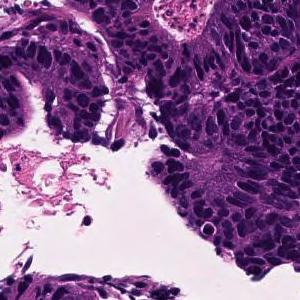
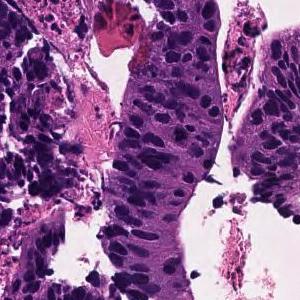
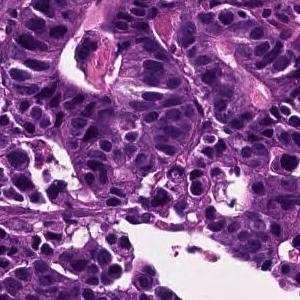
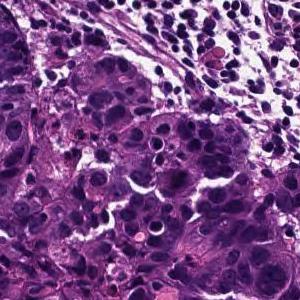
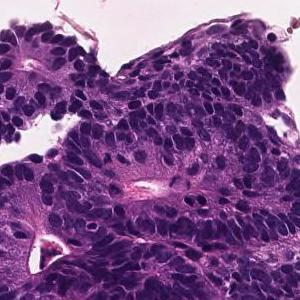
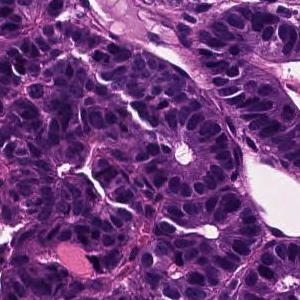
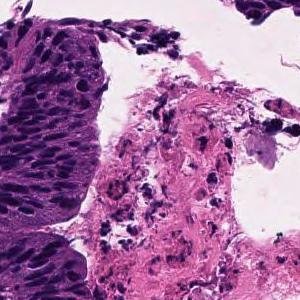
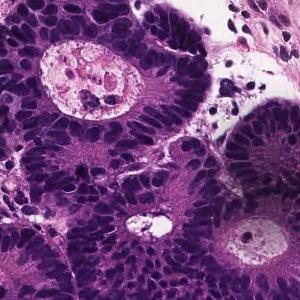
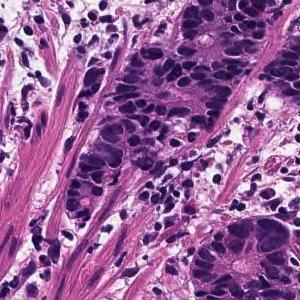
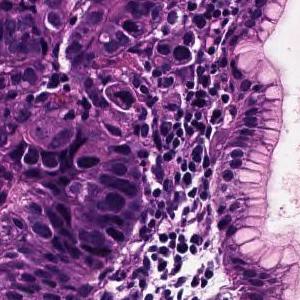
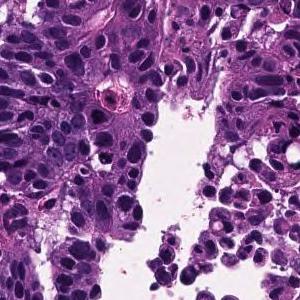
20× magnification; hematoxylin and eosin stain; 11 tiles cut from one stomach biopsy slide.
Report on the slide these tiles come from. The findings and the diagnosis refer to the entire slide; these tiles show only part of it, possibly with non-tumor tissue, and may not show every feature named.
In the superficial epithelium, tumor tissue that invades by forming medium-sized to small, irregular ducts is observed. moderately differentiated tubular adenocarcinoma.
